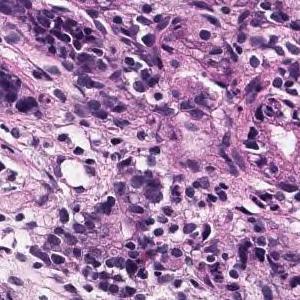
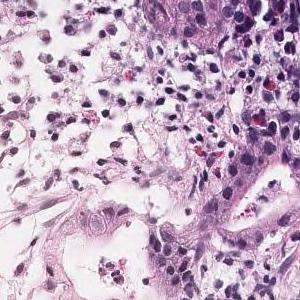
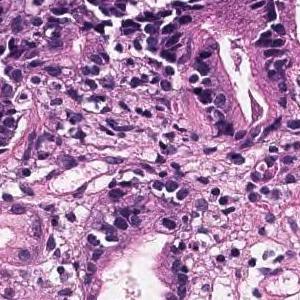
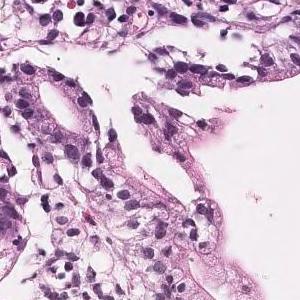
20× magnification; 4 patches cut from one gastric biopsy slide; 300 × 300 pixels each.
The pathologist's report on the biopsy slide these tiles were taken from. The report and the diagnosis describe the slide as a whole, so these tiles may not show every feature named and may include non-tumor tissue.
Tumor tissue that grows and grows is observed, showing a medium-sized round or irregular duct. moderately differentiated tubular adenocarcinoma
